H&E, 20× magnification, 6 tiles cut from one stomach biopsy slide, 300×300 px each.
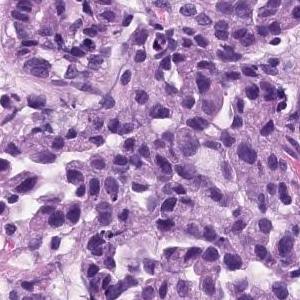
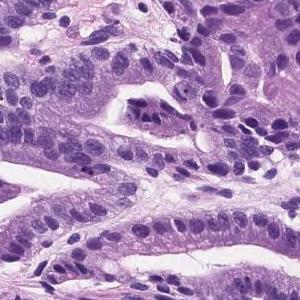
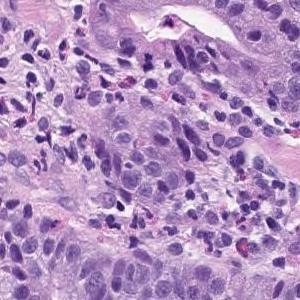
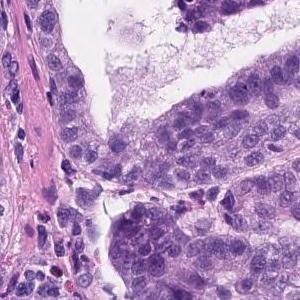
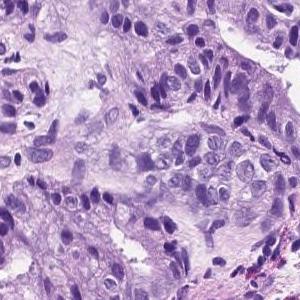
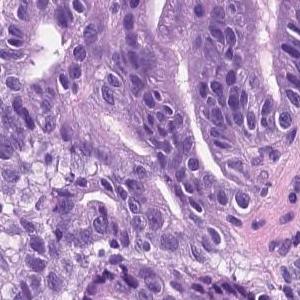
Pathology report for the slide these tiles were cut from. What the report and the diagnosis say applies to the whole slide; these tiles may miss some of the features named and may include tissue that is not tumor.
Tumor tissue consisting of medium-sized and irregular ducts is observed infiltrating in the superficial epithelium. Tumor cells are highly columnar, with nuclei aligned basolaterally and polarized. Well differentiated tubular adenocarcinoma.
